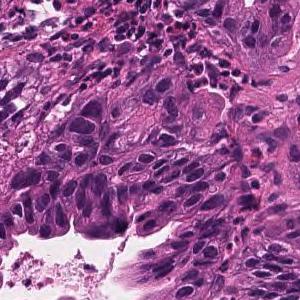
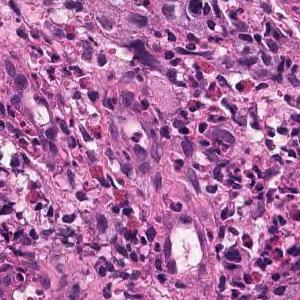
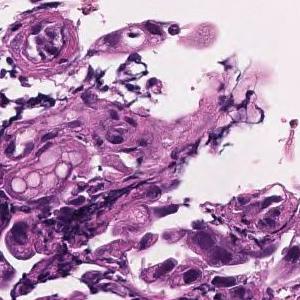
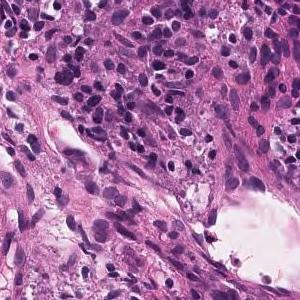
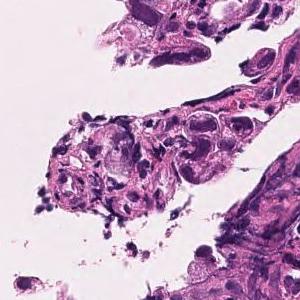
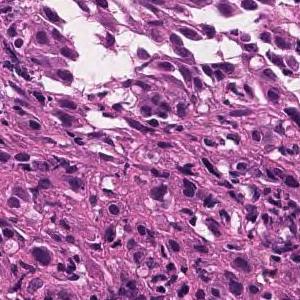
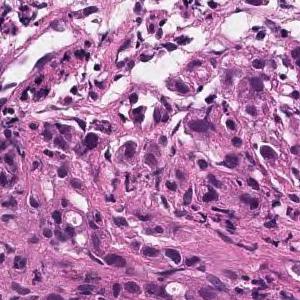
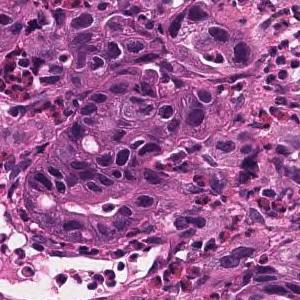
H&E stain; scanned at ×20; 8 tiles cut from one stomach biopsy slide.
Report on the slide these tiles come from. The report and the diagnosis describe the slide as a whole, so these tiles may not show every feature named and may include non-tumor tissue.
Tumor tissue consisting of medium-sized, cord-like or irregular glandular infiltration is observed in the superficial epithelium. Poorly differentiated adenocarcinoma, non-solid type or moderately differentiated tubular adenocarcinoma
"Non-solid type" is a category of the Japanese Classification of Gastric Carcinoma.
